H&E; 20× magnification; 8 patches cut from one gastric biopsy slide.
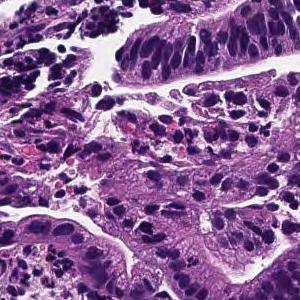
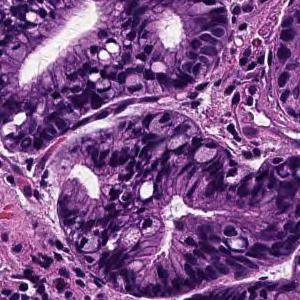
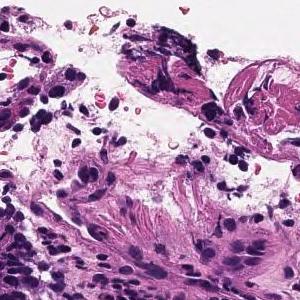
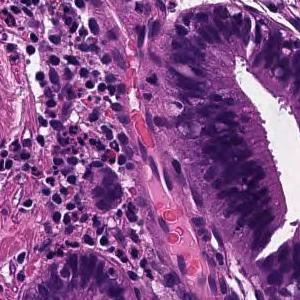
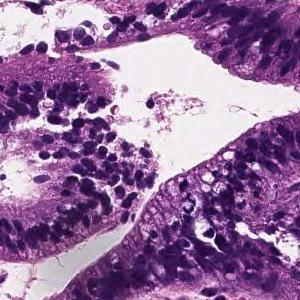
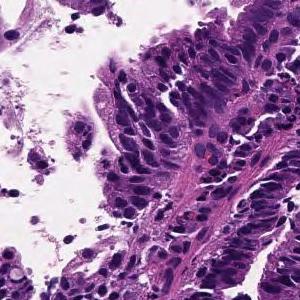
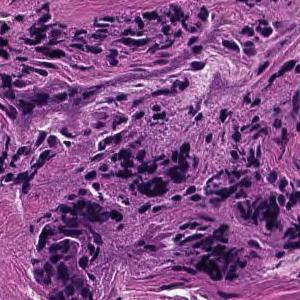
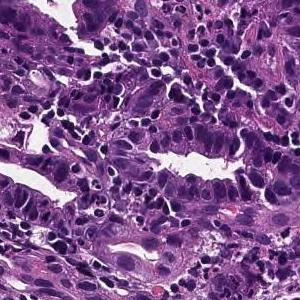
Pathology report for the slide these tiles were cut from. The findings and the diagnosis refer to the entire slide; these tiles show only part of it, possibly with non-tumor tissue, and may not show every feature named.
From the superficial epithelium to the muscularis mucosae, tumor tissue consisting of medium-sized and irregular glandular ducts infiltrating is observed. Well differentiated tubular adenocarcinoma
